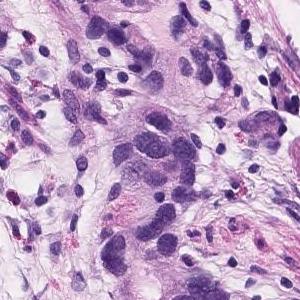
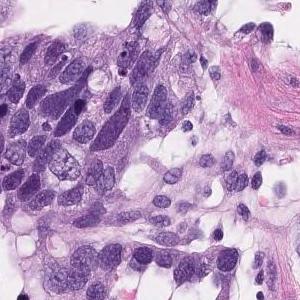
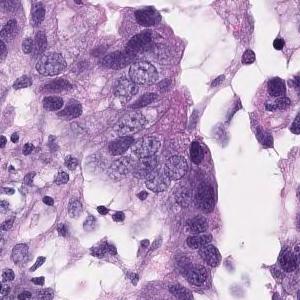
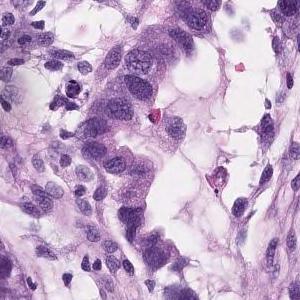
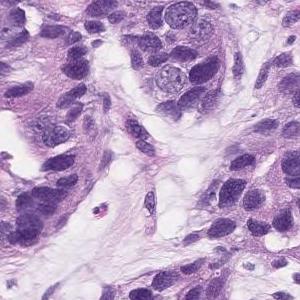
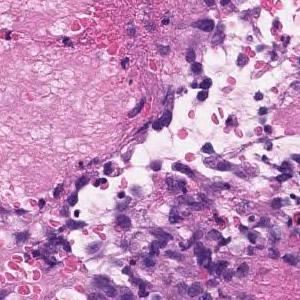
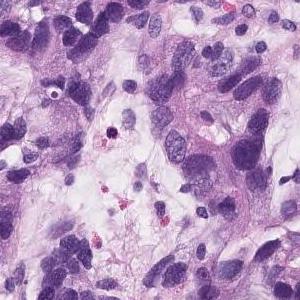
×20 · H&E · 7 patches cut from one gastric biopsy slide · 300×300 px each.
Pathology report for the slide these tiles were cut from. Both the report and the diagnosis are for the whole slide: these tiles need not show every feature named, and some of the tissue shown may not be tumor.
Group 5, Adenocarcinoma. Moderately to poorly differentiated adenocarcinoma
